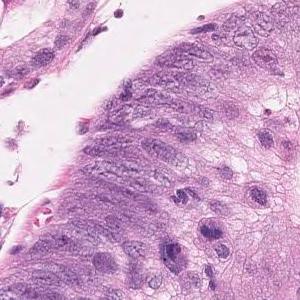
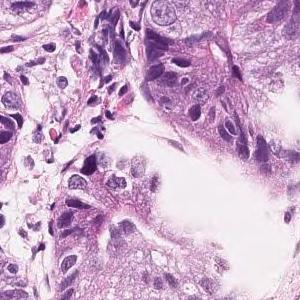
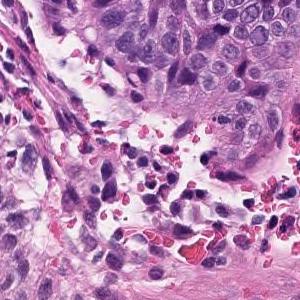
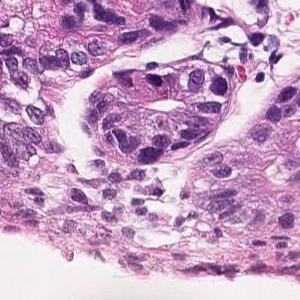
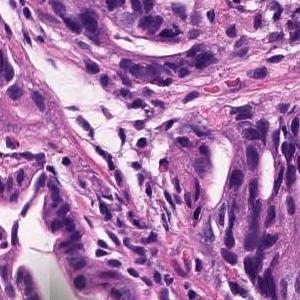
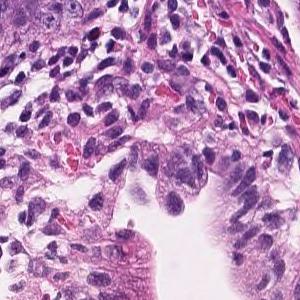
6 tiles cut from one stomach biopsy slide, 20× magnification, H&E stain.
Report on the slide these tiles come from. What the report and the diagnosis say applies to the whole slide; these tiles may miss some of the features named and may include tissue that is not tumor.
Tumor cells are large, highly columnar, large club-shaped nuclei, and are associated with chromatin aggregation. Papillary adenocarcinoma.
